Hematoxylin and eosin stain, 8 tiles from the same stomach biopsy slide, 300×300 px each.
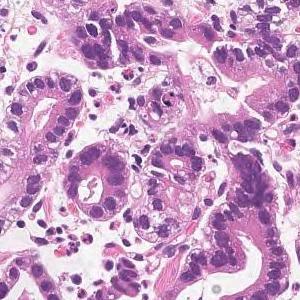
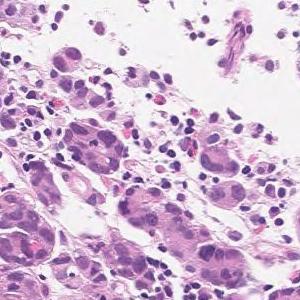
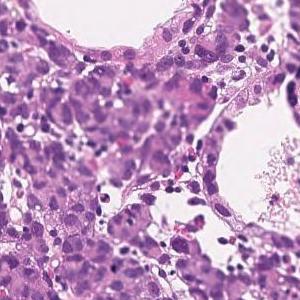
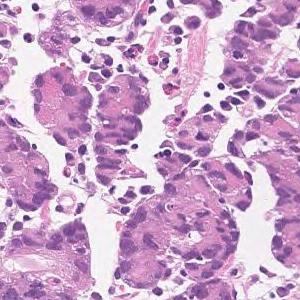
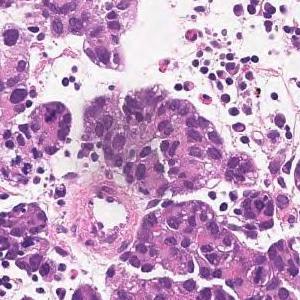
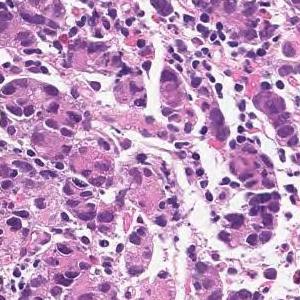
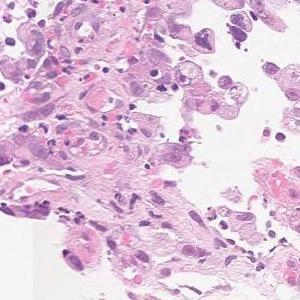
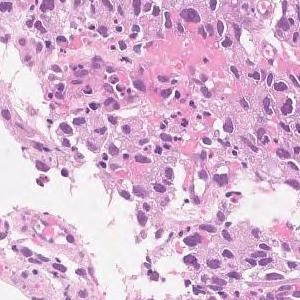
Diagnostic report for the slide these tiles come from. What the report and the diagnosis say applies to the whole slide; these tiles may miss some of the features named and may include tissue that is not tumor.
Medium to small, irregular glandular ducts are formed in the superficial epithelium, and in some cases, the glandular ducts are fused to show solid alveolar lesions and infiltrating tumor tissue is observed. Moderately to poorly differentiated adenocarcinoma.
